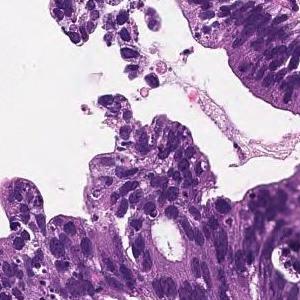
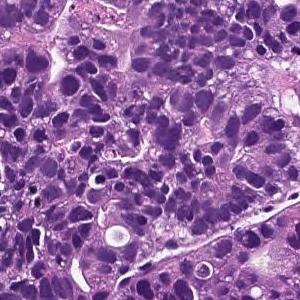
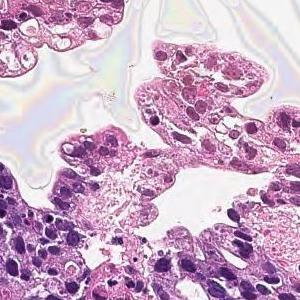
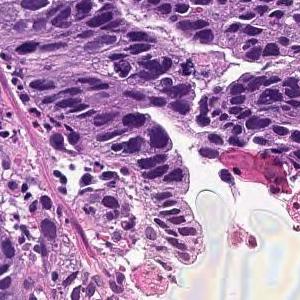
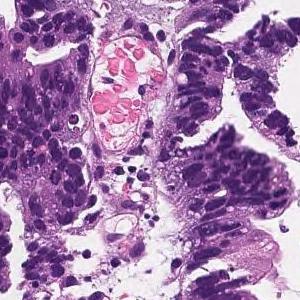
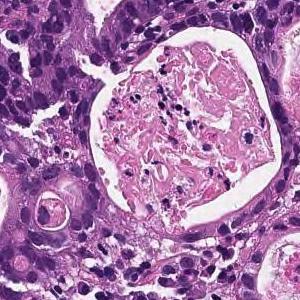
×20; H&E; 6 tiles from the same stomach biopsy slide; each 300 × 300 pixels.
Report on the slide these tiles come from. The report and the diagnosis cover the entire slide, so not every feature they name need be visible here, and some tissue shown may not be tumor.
In the superficial epithelium, tumor tissue that invades by forming medium-sized to small, irregular ducts is observed. moderately differentiated tubular adenocarcinoma.
